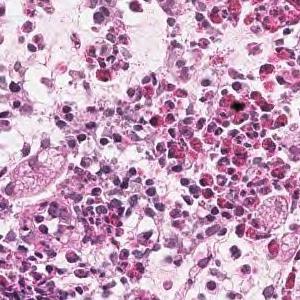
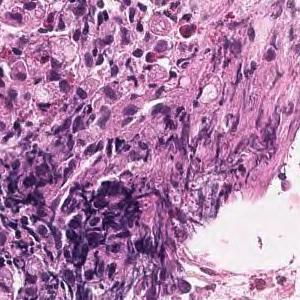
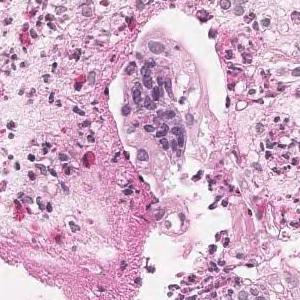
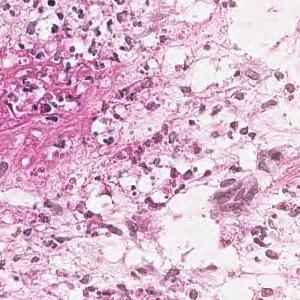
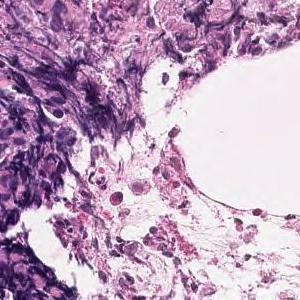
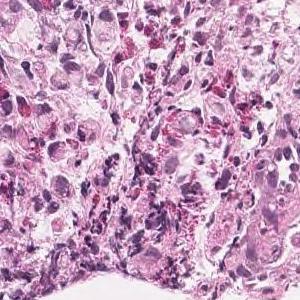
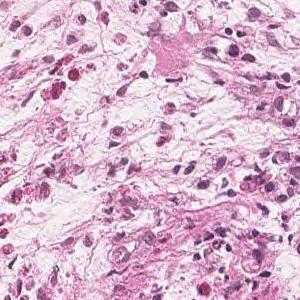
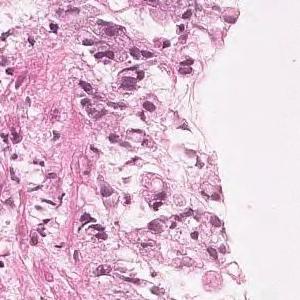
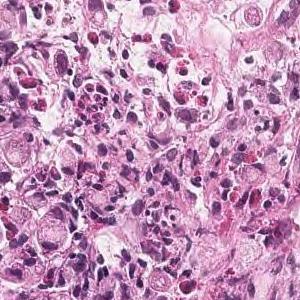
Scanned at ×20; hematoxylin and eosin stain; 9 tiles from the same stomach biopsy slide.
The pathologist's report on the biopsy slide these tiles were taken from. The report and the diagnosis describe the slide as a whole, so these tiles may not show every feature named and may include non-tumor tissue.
Tumor tissue is observed in which atypical epithelial cells with mucus in the vesicles proliferate while being isolated. Signet ring cell carcinoma
